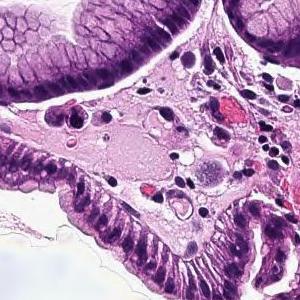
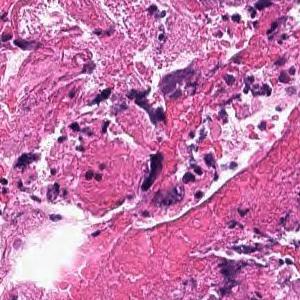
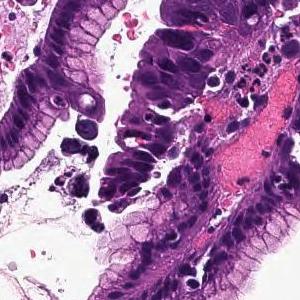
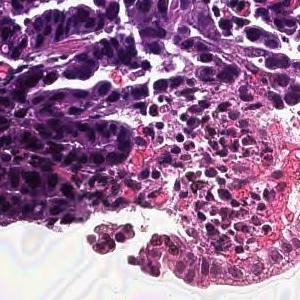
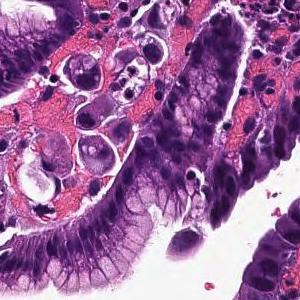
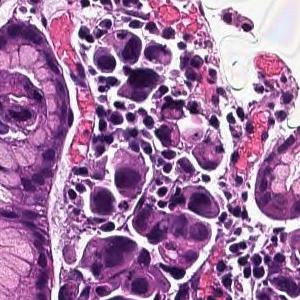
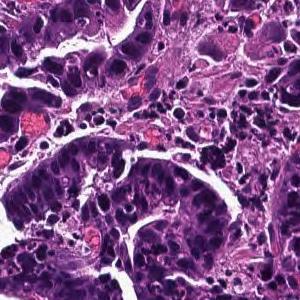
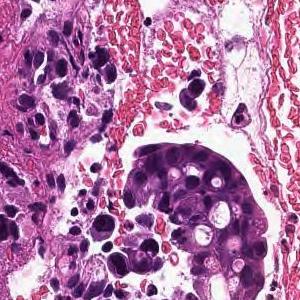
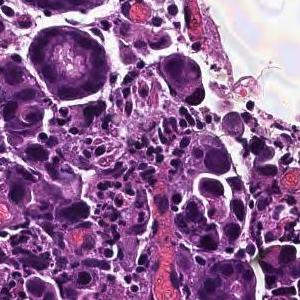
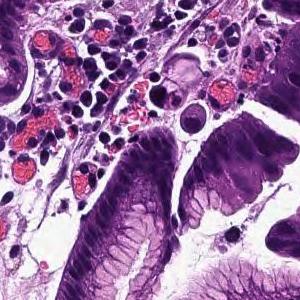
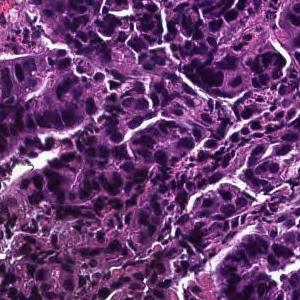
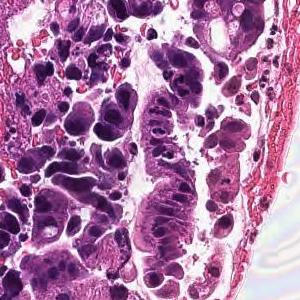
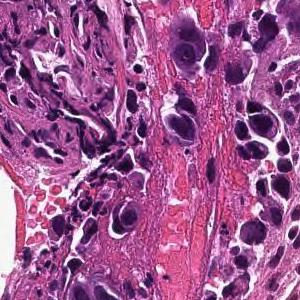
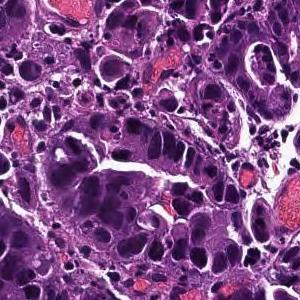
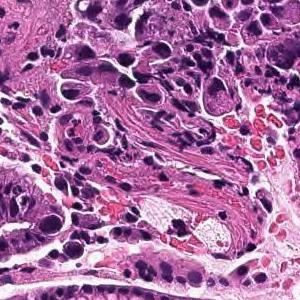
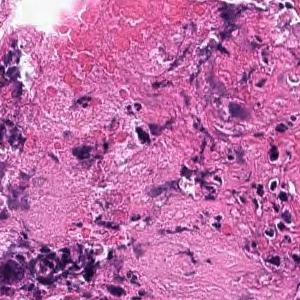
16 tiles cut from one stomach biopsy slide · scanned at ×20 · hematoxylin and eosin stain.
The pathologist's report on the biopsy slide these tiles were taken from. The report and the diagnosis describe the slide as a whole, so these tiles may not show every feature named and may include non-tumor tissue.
Tumor tissue consisting of medium-sized, cord-like or irregular glandular infiltration is observed in the superficial epithelium. Poorly differentiated adenocarcinoma, non-solid type or moderately differentiated tubular adenocarcinoma
Classified as moderately to poorly differentiated adenocarcinoma.
The term "non-solid type" comes from the Japanese Classification of Gastric Carcinoma.
